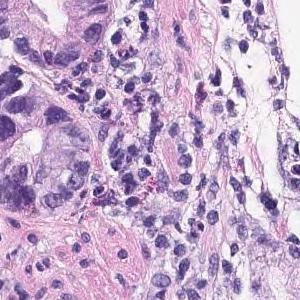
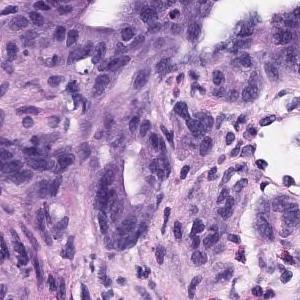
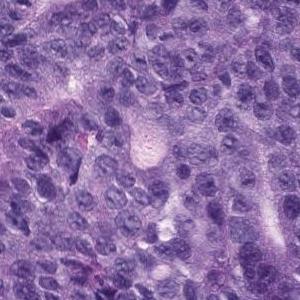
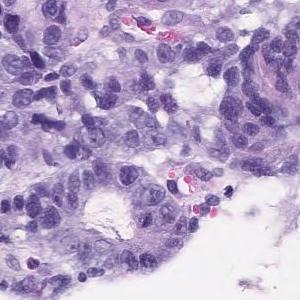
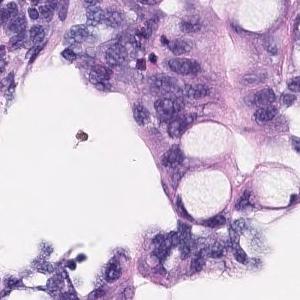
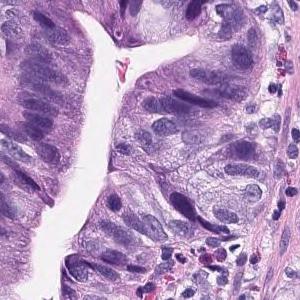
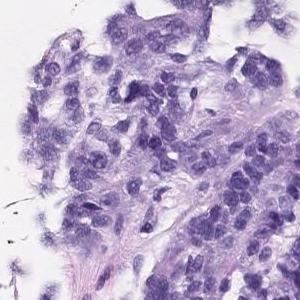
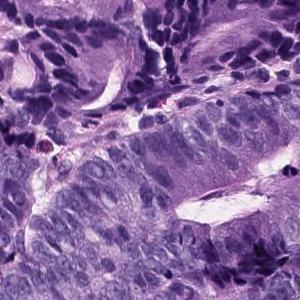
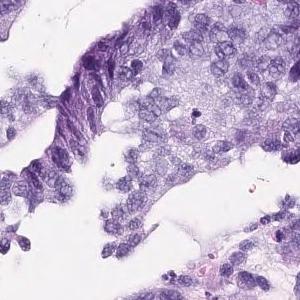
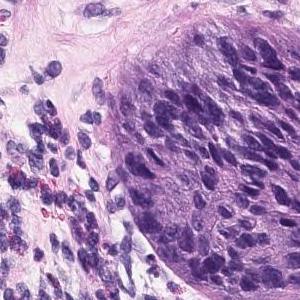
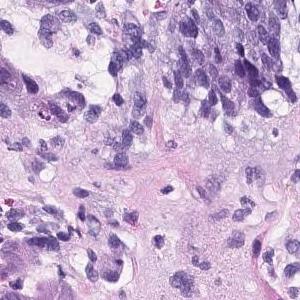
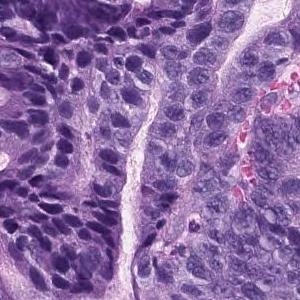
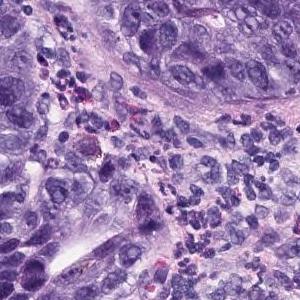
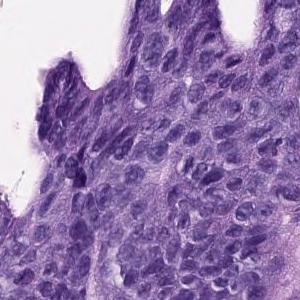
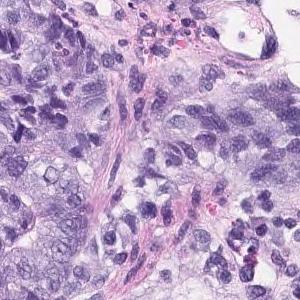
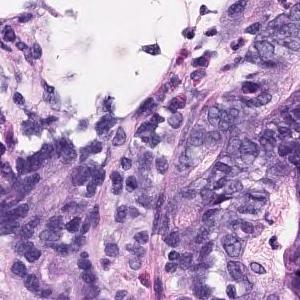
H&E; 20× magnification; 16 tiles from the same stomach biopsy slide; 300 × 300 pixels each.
Pathology report for the slide these tiles were cut from. The report and the diagnosis cover the entire slide, so not every feature they name need be visible here, and some tissue shown may not be tumor.
In the superficial epithelium, tumor tissue that invades by forming medium-sized to small, irregular ducts is observed. Well to moderately differentiated tubular adenocarcinoma.
